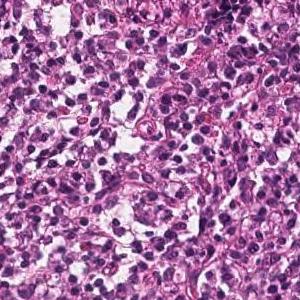
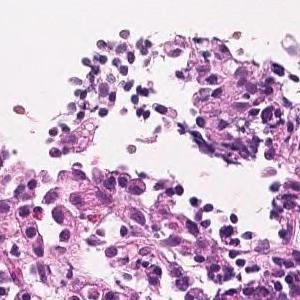
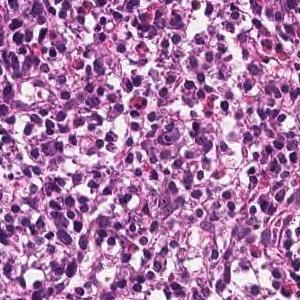
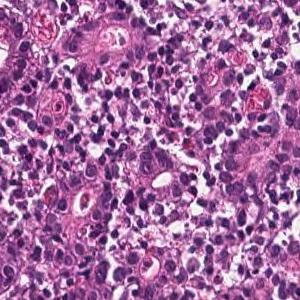
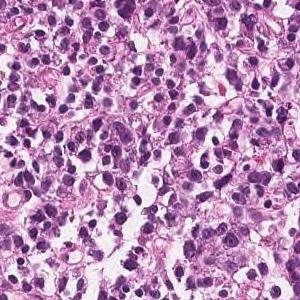
H&E stain; 5 patches cut from one gastric biopsy slide; 300 × 300 pixels each.
Diagnostic report for the slide these tiles come from. What the report and the diagnosis say applies to the whole slide; these tiles may miss some of the features named and may include tissue that is not tumor.
Tumor tissue consisting of cord-like or small, irregular glandular ducts fused and infiltrated is observed in the superficial epithelium. Poorly differentiated adenocarcinoma, non-solid type
"Non-solid type" is a category of the Japanese Classification of Gastric Carcinoma.
